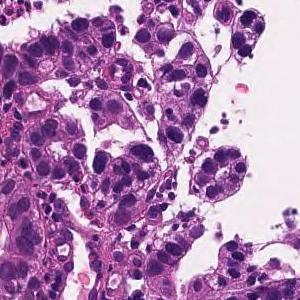
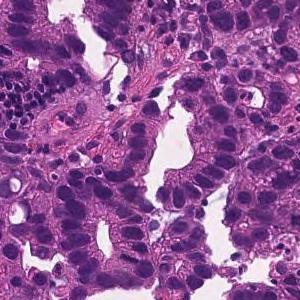
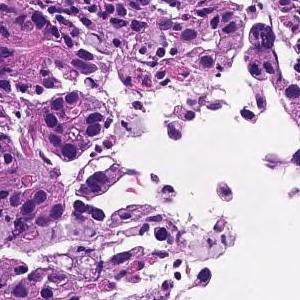
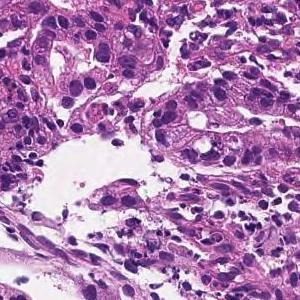
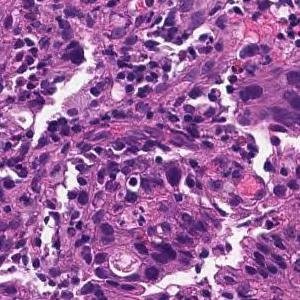
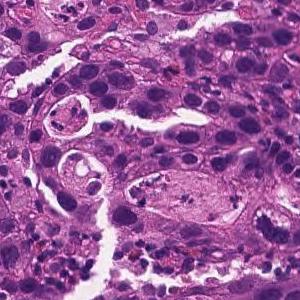
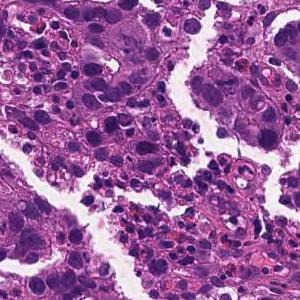
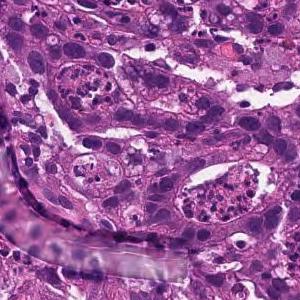
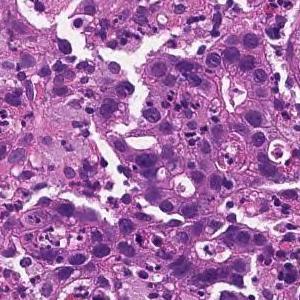
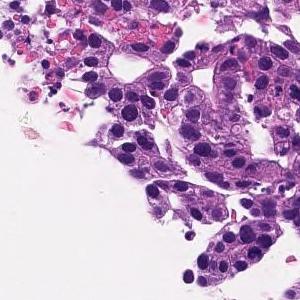
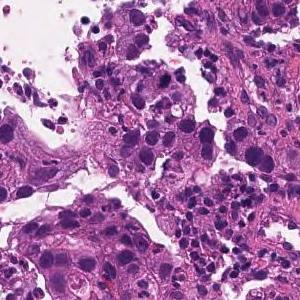
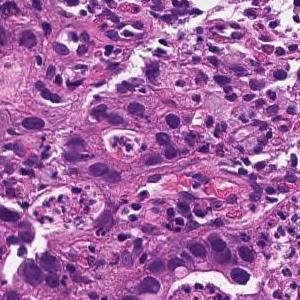
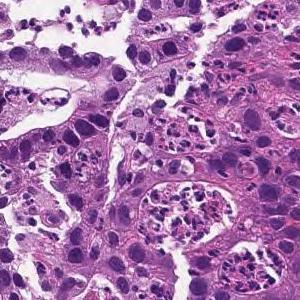
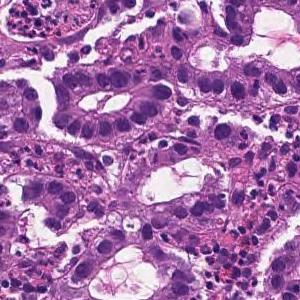
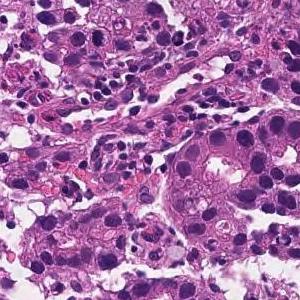
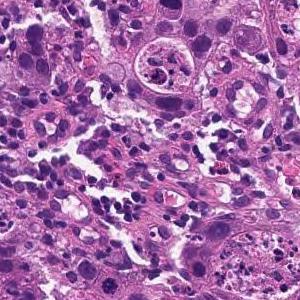
16 patches cut from one gastric biopsy slide, hematoxylin and eosin stain.
Pathology report for the slide these tiles were cut from. The findings and the diagnosis refer to the entire slide; these tiles show only part of it, possibly with non-tumor tissue, and may not show every feature named.
Medium to small, irregular glandular ducts are formed in the superficial epithelium, and in some cases, the glandular ducts are fused to show solid alveolar lesions and infiltrating tumor tissue is observed. Moderately to poorly differentiated adenocarcinoma.
